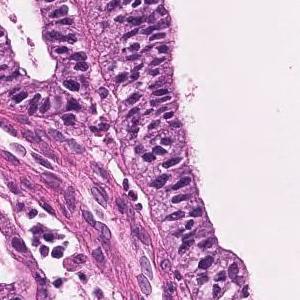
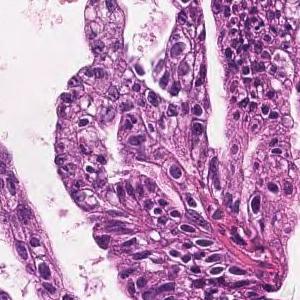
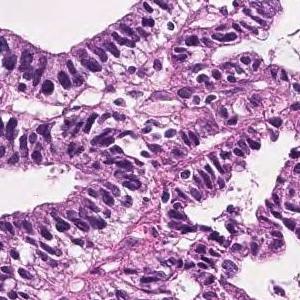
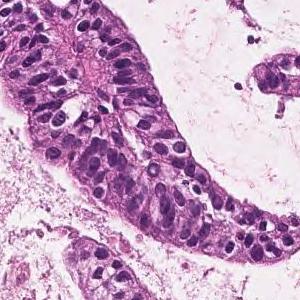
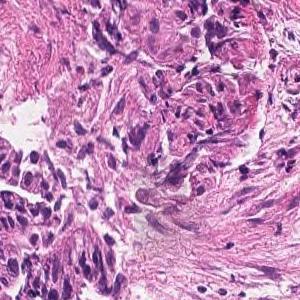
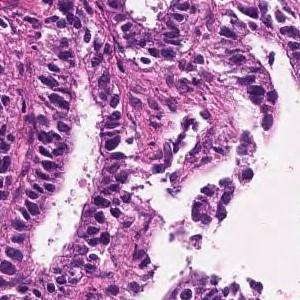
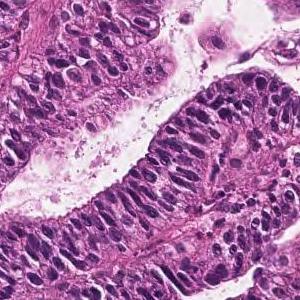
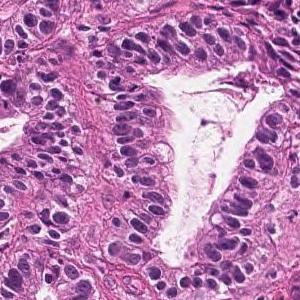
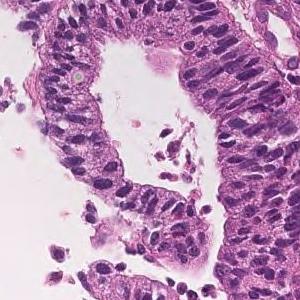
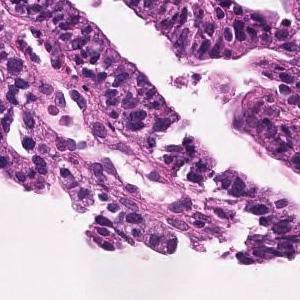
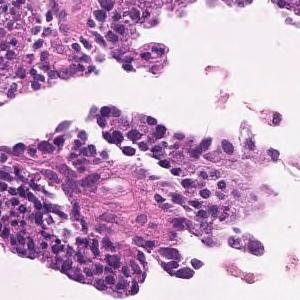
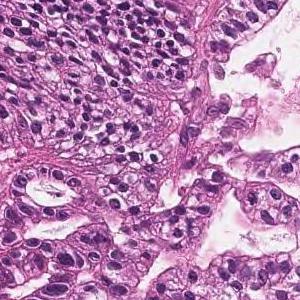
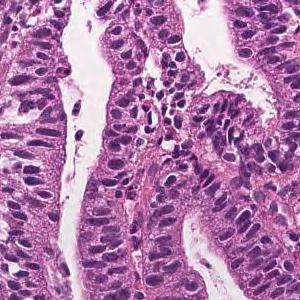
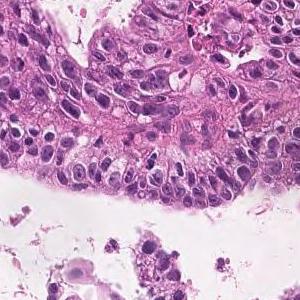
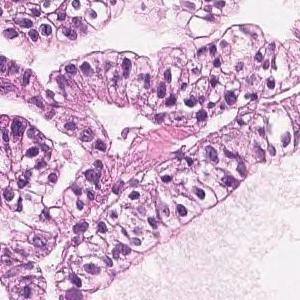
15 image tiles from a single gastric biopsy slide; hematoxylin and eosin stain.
The pathologist's report on the biopsy slide these tiles were taken from. The findings and the diagnosis refer to the entire slide; these tiles show only part of it, possibly with non-tumor tissue, and may not show every feature named.
Tumor cells are large, highly columnar, large club-shaped nuclei, and are associated with chromatin aggregation. Papillary adenocarcinoma.
